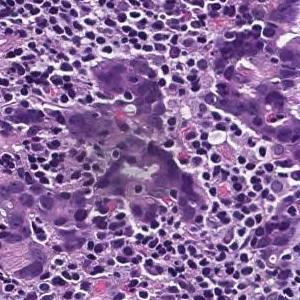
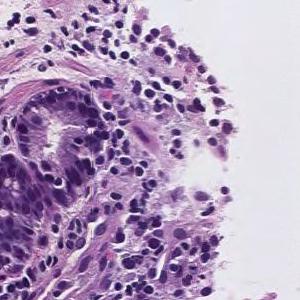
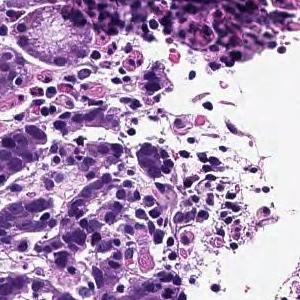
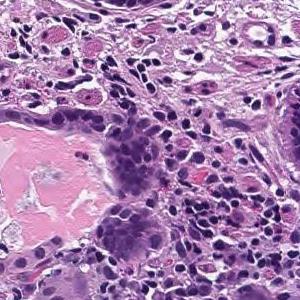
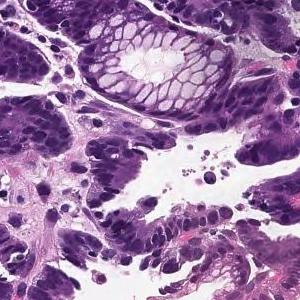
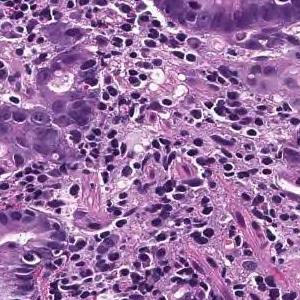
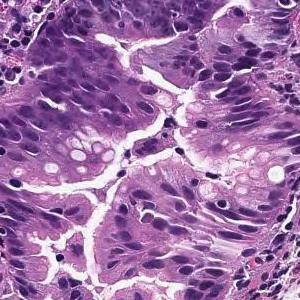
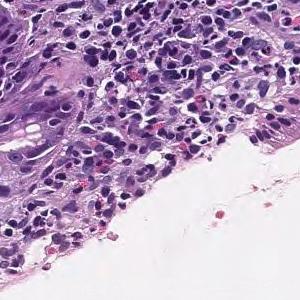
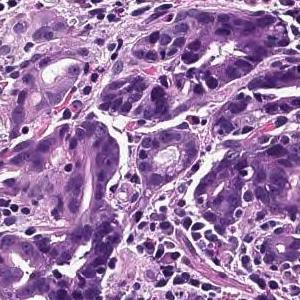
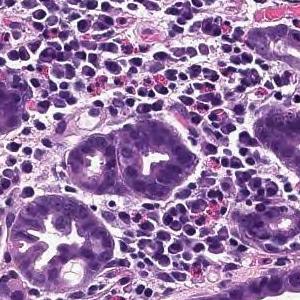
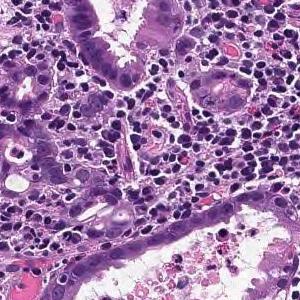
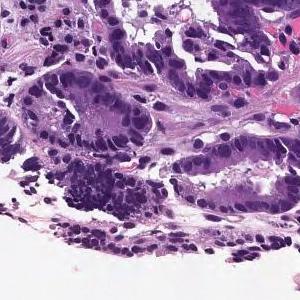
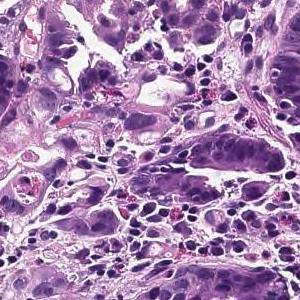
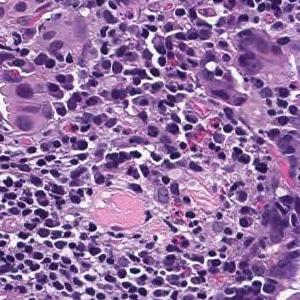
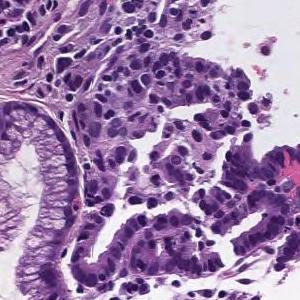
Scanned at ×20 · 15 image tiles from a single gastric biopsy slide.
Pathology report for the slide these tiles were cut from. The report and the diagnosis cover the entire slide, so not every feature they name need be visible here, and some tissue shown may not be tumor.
In the superficial epithelium, tumor tissue that invades by forming medium-sized to small, irregular ducts is observed. moderately differentiated tubular adenocarcinoma.
